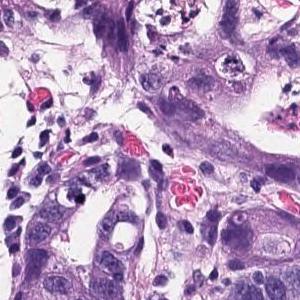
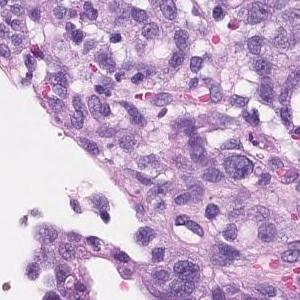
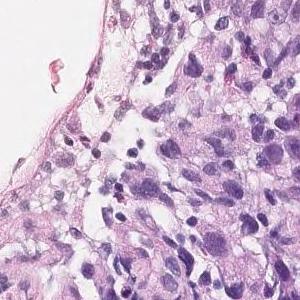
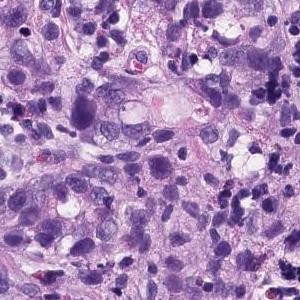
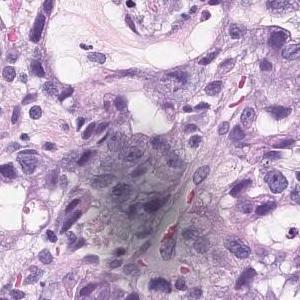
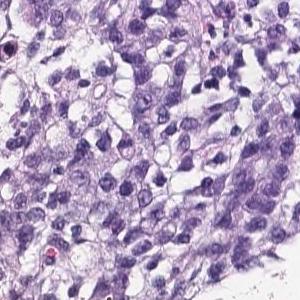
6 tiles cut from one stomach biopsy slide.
The pathologist's report on the biopsy slide these tiles were taken from. Both the report and the diagnosis are for the whole slide: these tiles need not show every feature named, and some of the tissue shown may not be tumor.
There are atypical l cells with atypical nuclei forming cord-like or irregular atypical ducts from solidity and proliferating in a comprehensive manner. Poorly differentiated adenocarcinoma, Moderately differentiated adenocarcinoma (poorly differentiated adenocarcinoma, solid type moderately differentiated tubular adenocarcinoma)
Classified as moderately to poorly differentiated adenocarcinoma.
"Solid type" is a category of the Japanese Classification of Gastric Carcinoma; in the WHO 2019 classification it is tubular adenocarcinoma, poorly differentiated.
